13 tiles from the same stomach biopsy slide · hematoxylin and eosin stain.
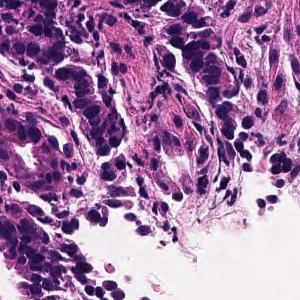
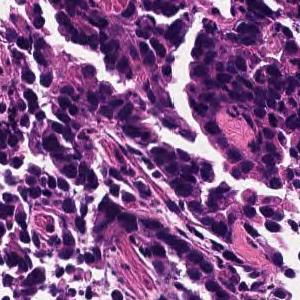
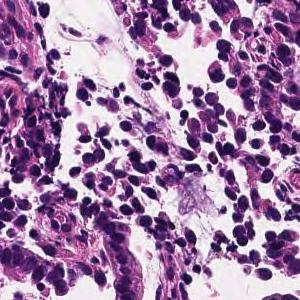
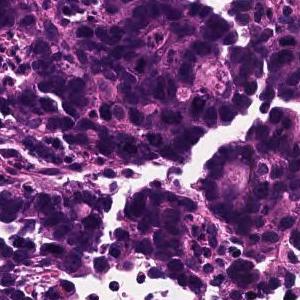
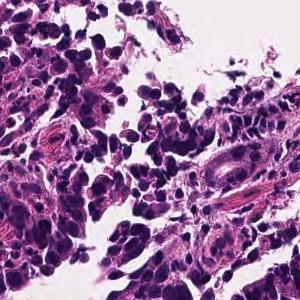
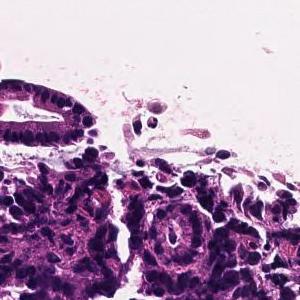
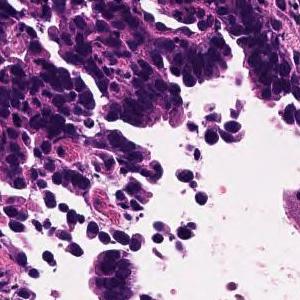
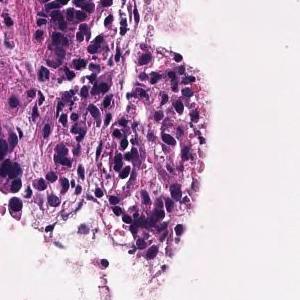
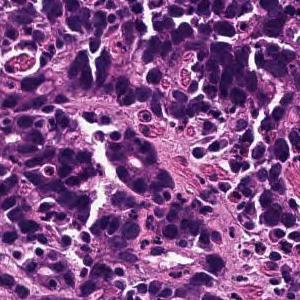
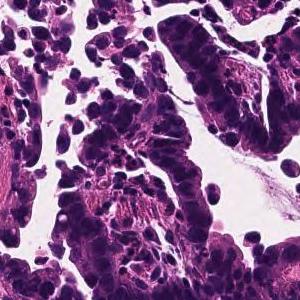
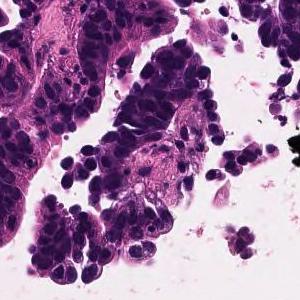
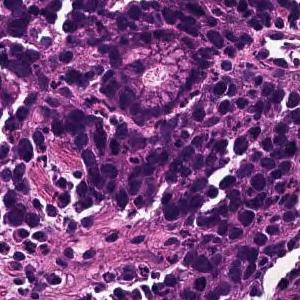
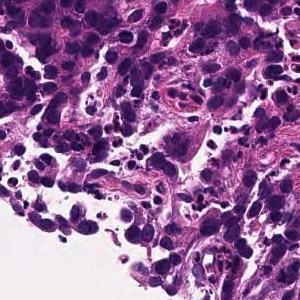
Pathology report for the slide these tiles were cut from. The report and the diagnosis describe the slide as a whole, so these tiles may not show every feature named and may include non-tumor tissue.
Medium to small, irregular glandular ducts are formed in the superficial epithelium, and in some cases, the glandular ducts are fused to show solid alveolar lesions and infiltrating tumor tissue is observed. Moderately to poorly differentiated adenocarcinoma.
